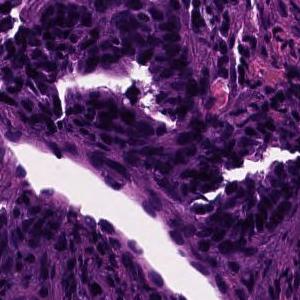
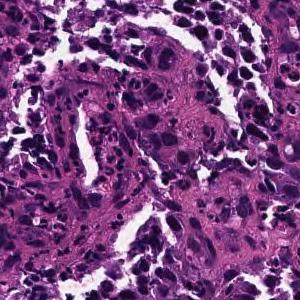
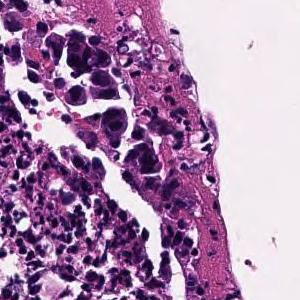
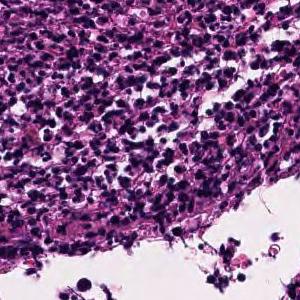
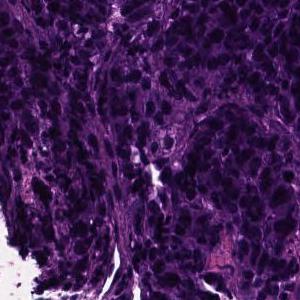
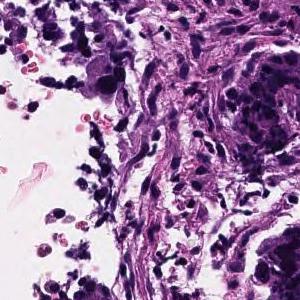
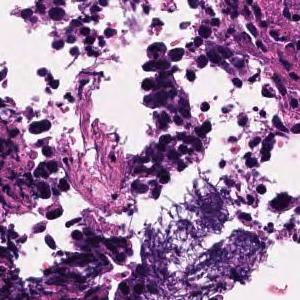
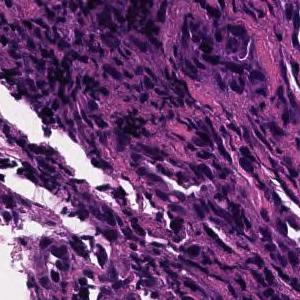
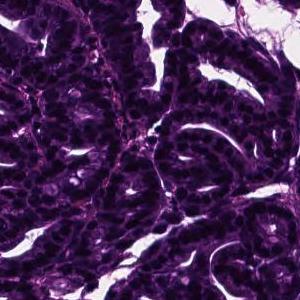
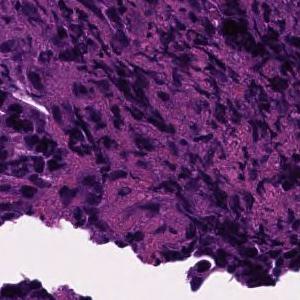
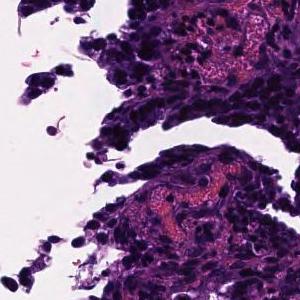
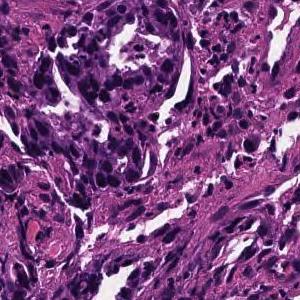
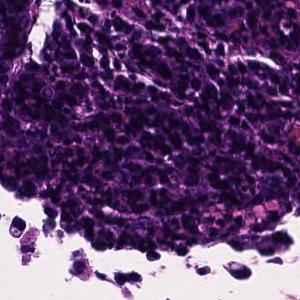
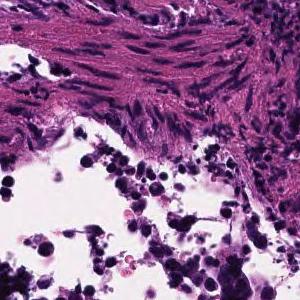
×20 · H&E stain · 14 image tiles from a single gastric biopsy slide · each 300 × 300 pixels.
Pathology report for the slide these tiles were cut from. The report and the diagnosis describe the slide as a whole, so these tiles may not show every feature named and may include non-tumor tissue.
In the superficial epithelium, tumor tissue that invades by forming medium-sized to small, irregular ducts is observed. moderately differentiated tubular adenocarcinoma.
